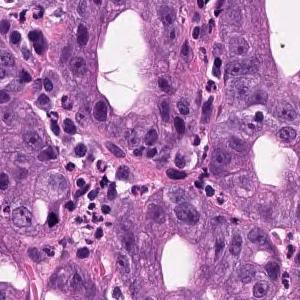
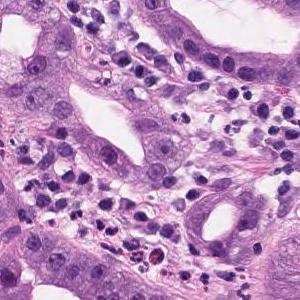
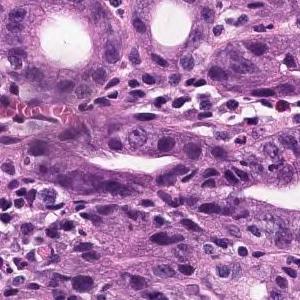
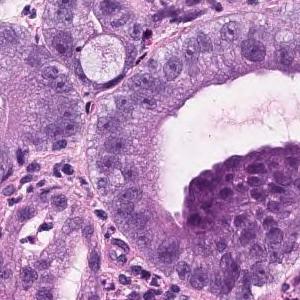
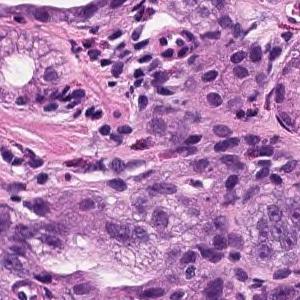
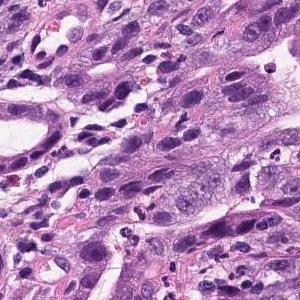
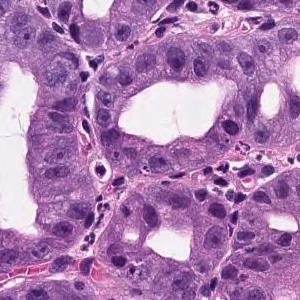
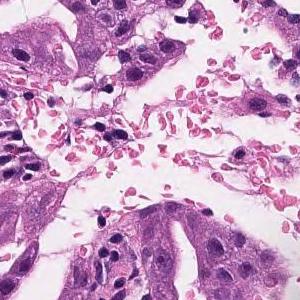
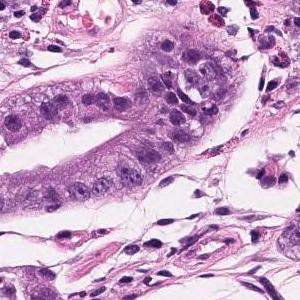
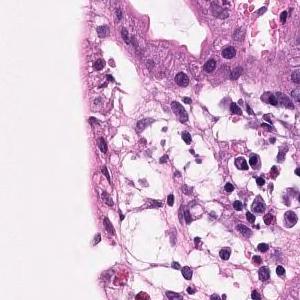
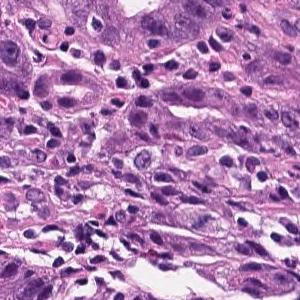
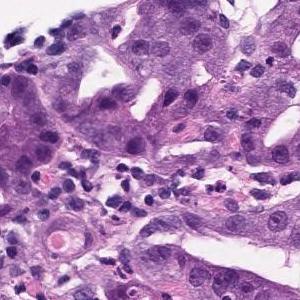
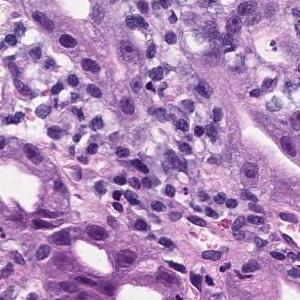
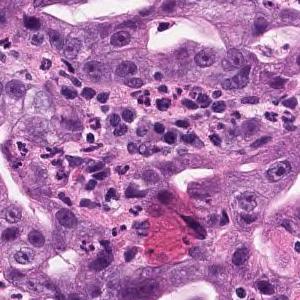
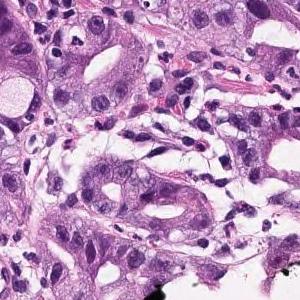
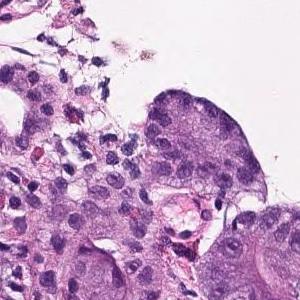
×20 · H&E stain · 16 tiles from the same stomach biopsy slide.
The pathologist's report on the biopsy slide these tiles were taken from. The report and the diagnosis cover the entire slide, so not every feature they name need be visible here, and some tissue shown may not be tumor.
In the superficial epithelium, tumor tissue that invades by forming medium-sized to small, irregular ducts is observed. Well to moderately differentiated adenocarcinoma (well differentiated tubular adenocarcinoma, moderately differentiated tubular adenocarcinoma).
Histologic type: Well to moderately differentiated tubular adenocarcinoma.
